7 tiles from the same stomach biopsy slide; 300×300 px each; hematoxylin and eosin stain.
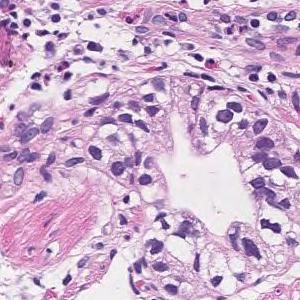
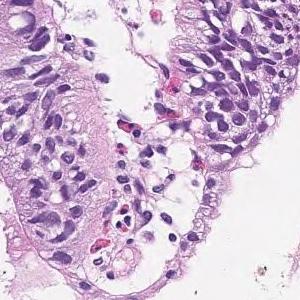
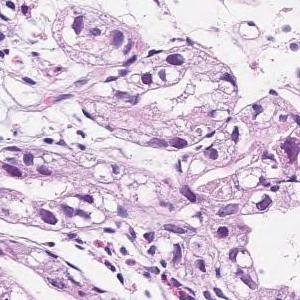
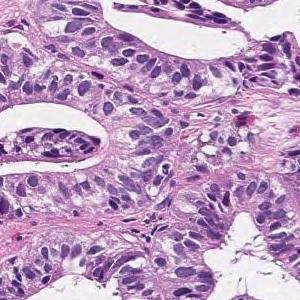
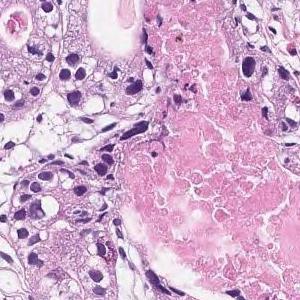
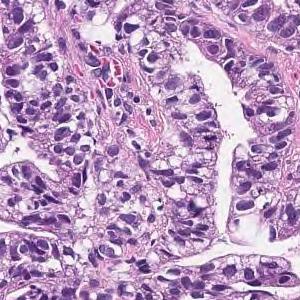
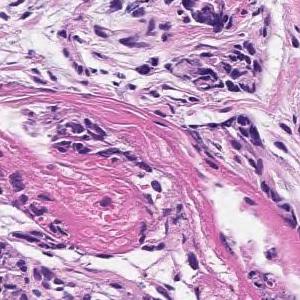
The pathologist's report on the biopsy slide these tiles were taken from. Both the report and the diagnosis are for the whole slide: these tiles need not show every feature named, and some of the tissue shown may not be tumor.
In the superficial epithelium, tumor tissue that invades by forming medium-sized to small, irregular ducts is observed. Moderately differentiated adenocarcinoma.
Classified as moderately differentiated tubular adenocarcinoma.
